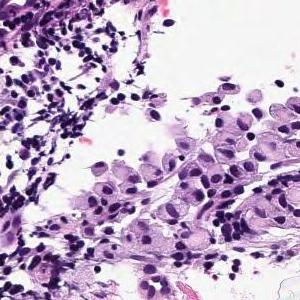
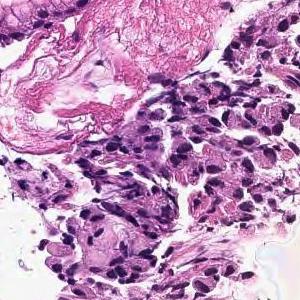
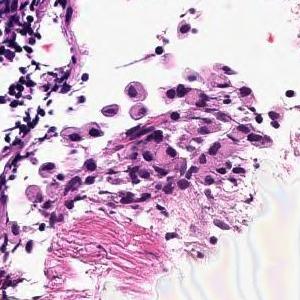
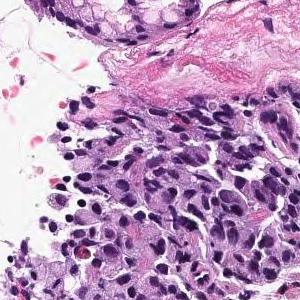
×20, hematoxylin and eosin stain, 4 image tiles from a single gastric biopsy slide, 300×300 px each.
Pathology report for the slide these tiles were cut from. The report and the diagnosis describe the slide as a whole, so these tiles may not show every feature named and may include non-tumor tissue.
In the lamina propria, a tumor tissue consisting of signet ring cell type atypical epithelial cells infiltrating is observed. Signet ring cell carcinoma.
